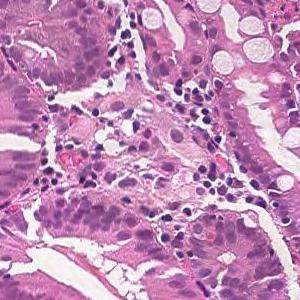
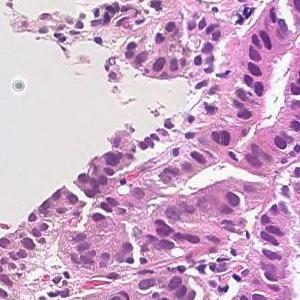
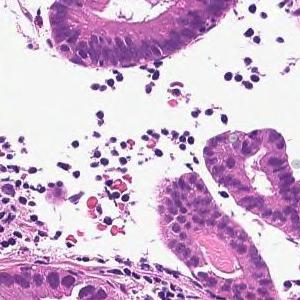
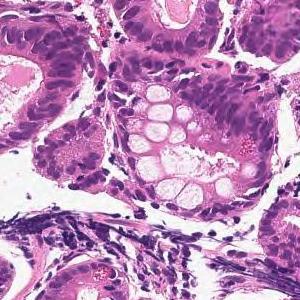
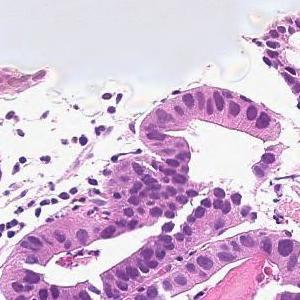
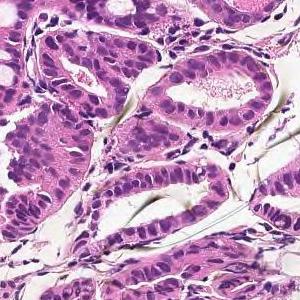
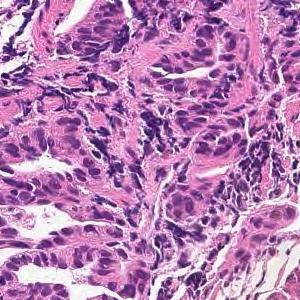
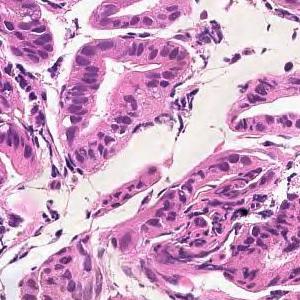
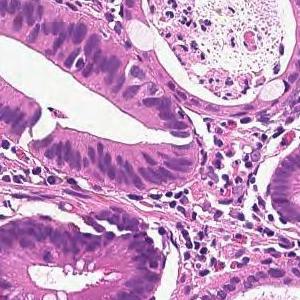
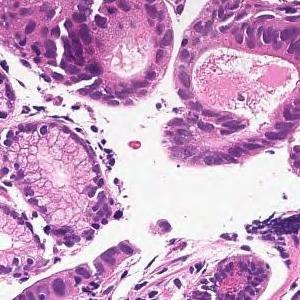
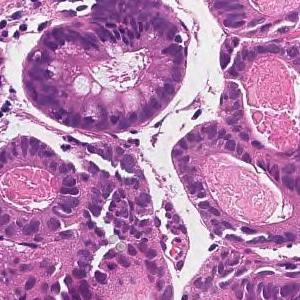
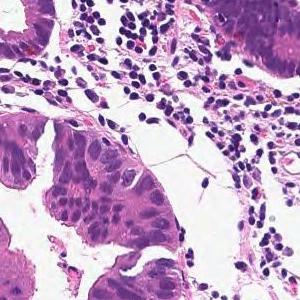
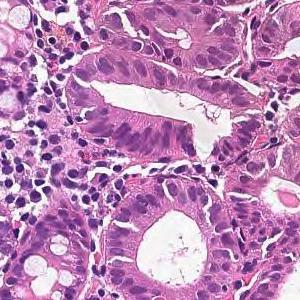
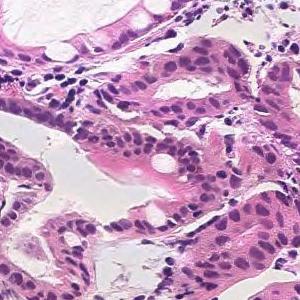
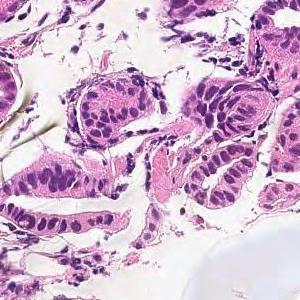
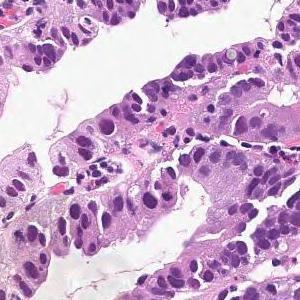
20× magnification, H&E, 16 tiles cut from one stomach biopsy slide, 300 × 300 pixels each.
The pathologist's report on the biopsy slide these tiles were taken from. The report and the diagnosis cover the entire slide, so not every feature they name need be visible here, and some tissue shown may not be tumor.
From the superficial epithelium to the muscularis mucosae, tumor tissue consisting of medium-sized and irregular glandular ducts infiltrating is observed. Well differentiated tubular adenocarcinoma
